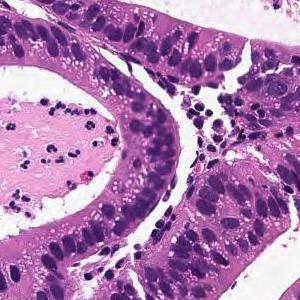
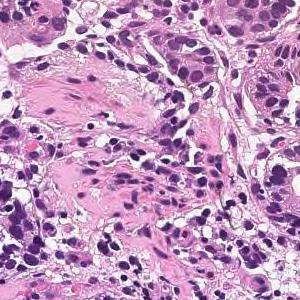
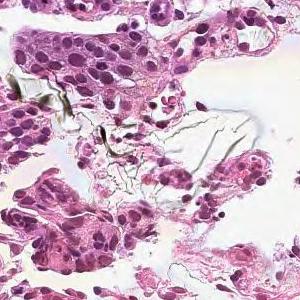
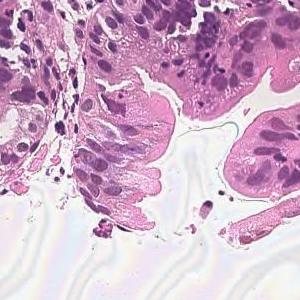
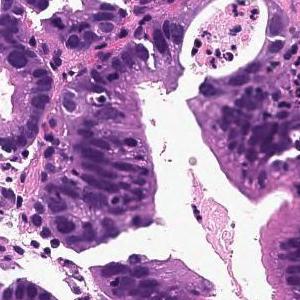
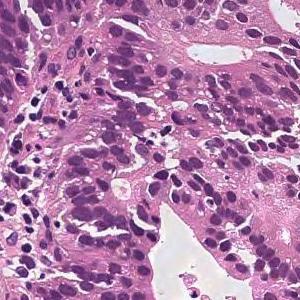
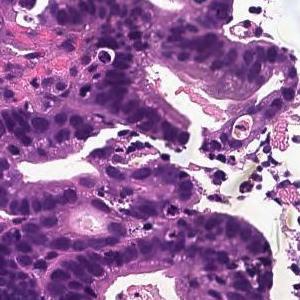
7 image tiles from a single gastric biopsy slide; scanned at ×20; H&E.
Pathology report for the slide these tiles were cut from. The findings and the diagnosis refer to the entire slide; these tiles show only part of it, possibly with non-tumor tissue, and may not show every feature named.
On the superficial epithelium, tumor tissue consisting of large irregular glandular ducts partially fused and infiltrated is observed. Well to moderately differentiated tubular adenocarcinoma (well differentiated tubular adenocarcinoma, moderately differentiated tubular adenocarcinoma)
Histologic type: Well to moderately differentiated tubular adenocarcinoma.
